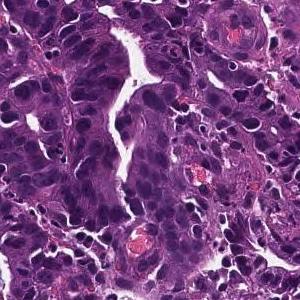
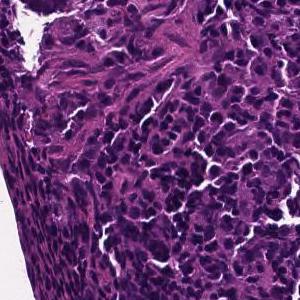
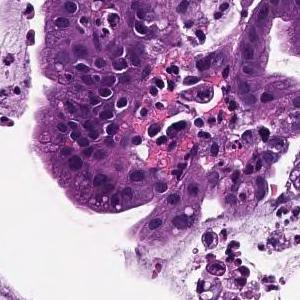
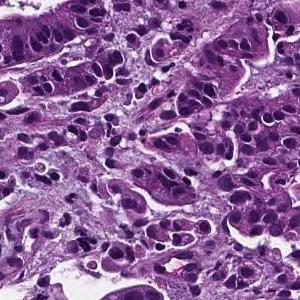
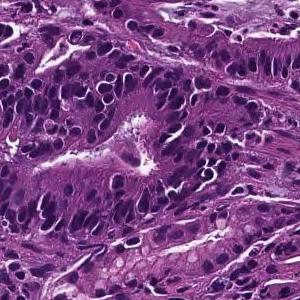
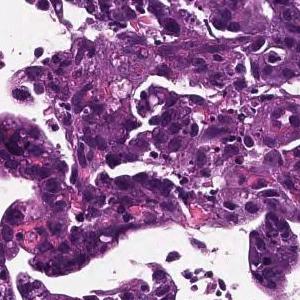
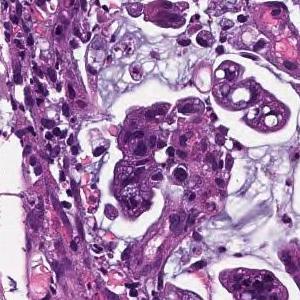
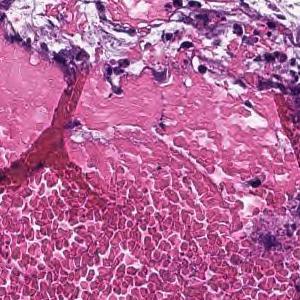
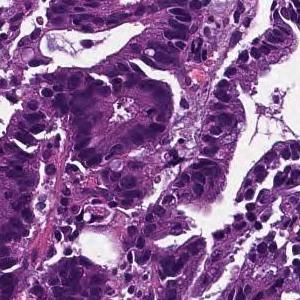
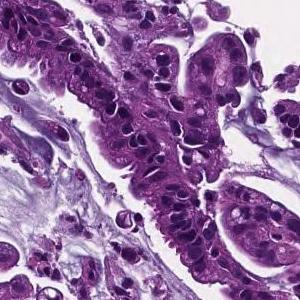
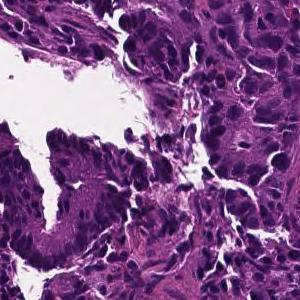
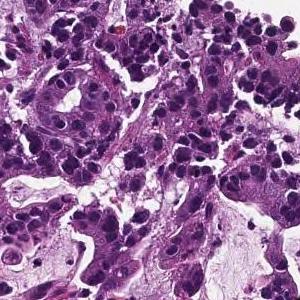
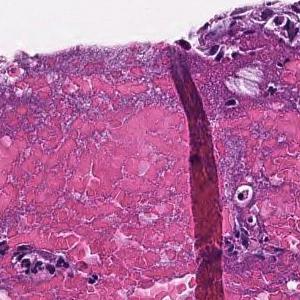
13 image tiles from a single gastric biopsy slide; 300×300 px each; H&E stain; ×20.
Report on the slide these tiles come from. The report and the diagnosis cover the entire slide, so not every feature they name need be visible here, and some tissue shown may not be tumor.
On the superficial epithelium, tumor tissue consisting of large irregular glandular ducts partially fused and infiltrated is observed. Well to moderately differentiated tubular adenocarcinoma (well differentiated tubular adenocarcinoma, moderately differentiated tubular adenocarcinoma)
Histological subtype: Well to moderately differentiated tubular adenocarcinoma.
